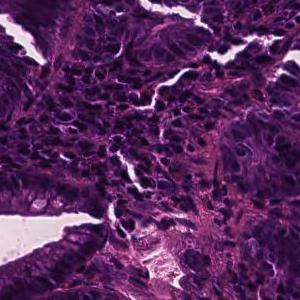
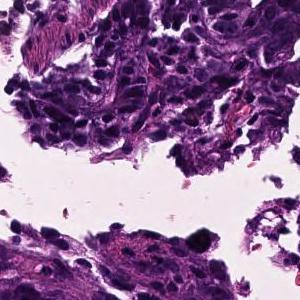
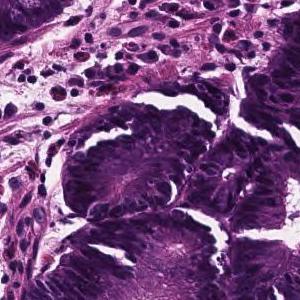
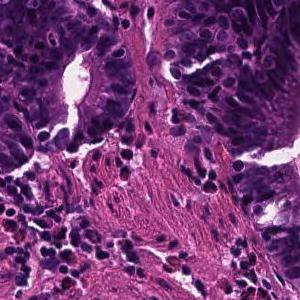
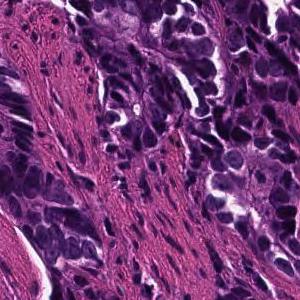
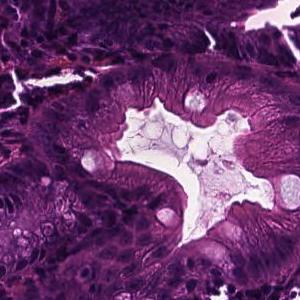
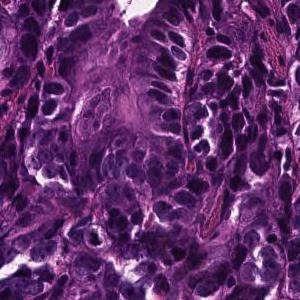
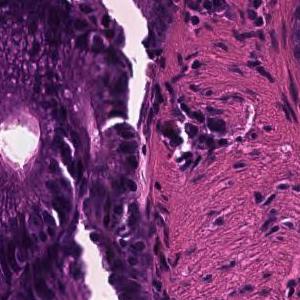
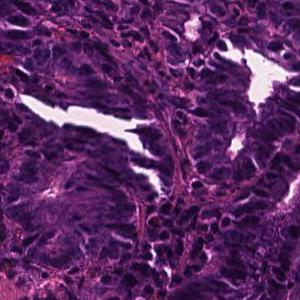
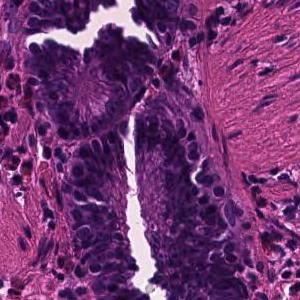
H&E stain; 10 tiles from the same stomach biopsy slide; 300×300 px each.
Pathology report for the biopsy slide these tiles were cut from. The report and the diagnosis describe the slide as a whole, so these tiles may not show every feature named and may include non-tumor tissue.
In the superficial epithelium, tumor tissue that invades by forming medium-sized to small, irregular ducts is observed. moderately differentiated tubular adenocarcinoma.
